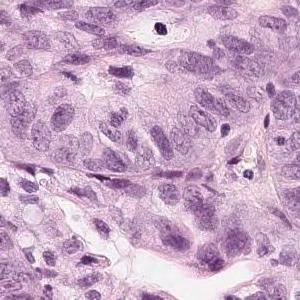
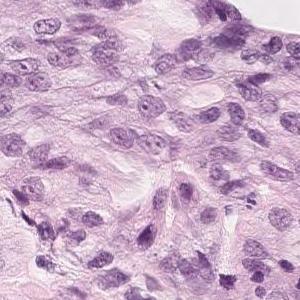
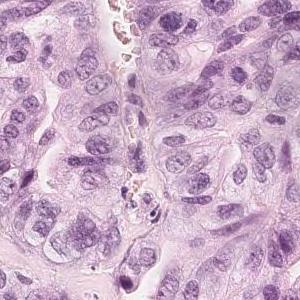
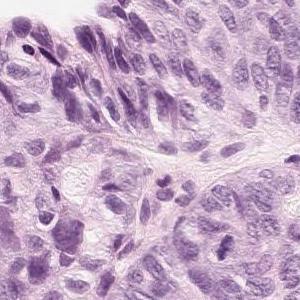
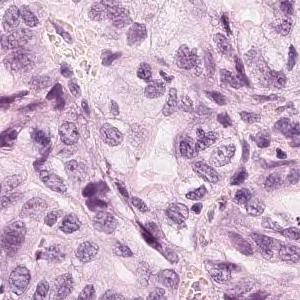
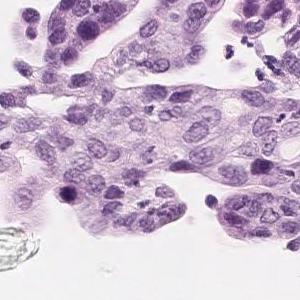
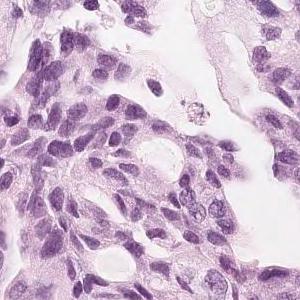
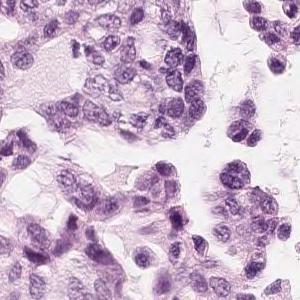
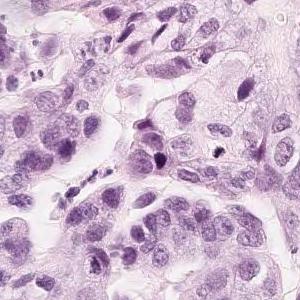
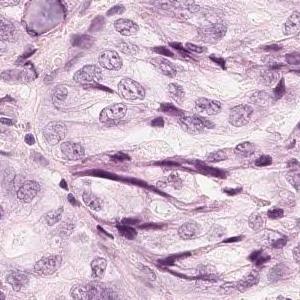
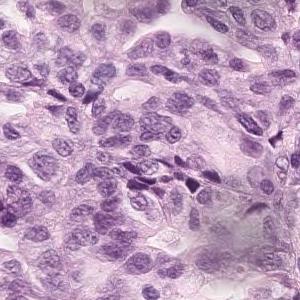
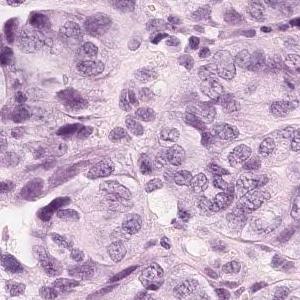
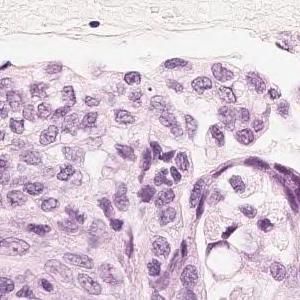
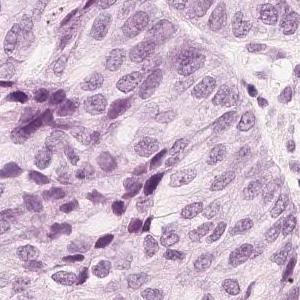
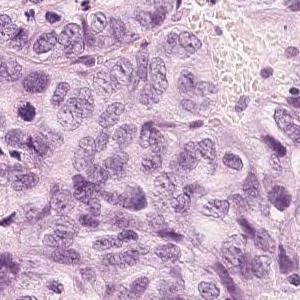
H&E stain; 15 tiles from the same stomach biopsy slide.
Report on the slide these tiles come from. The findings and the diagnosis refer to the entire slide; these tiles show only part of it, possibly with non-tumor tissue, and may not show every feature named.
Tumor tissue in which medium-sized atypical epithelial cells with a large N/C ratio grow densely while becoming alveolar to cord-like with duct formation is observed. moderately differentiated tubular adenocarcinoma
